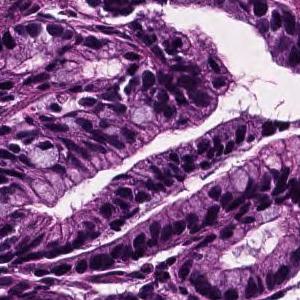
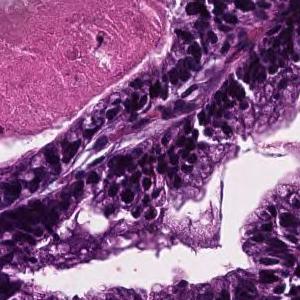
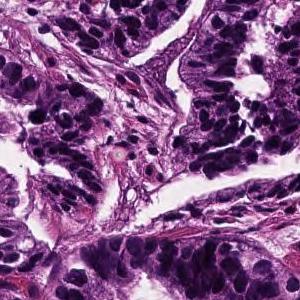
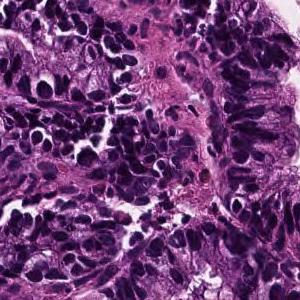
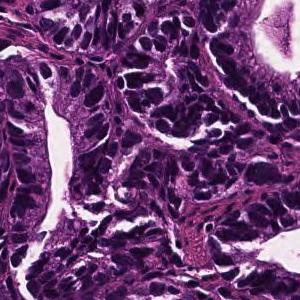
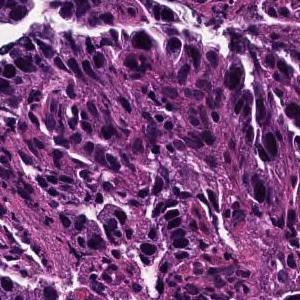
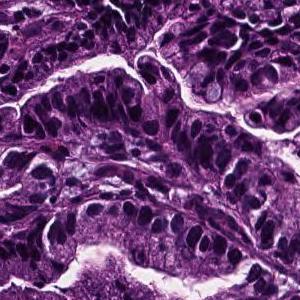
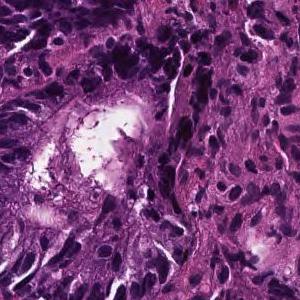
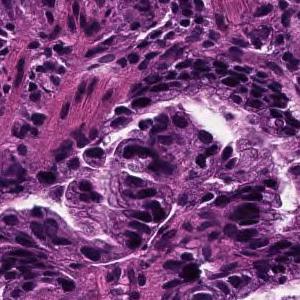
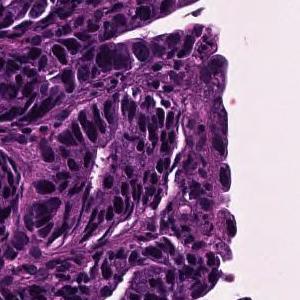
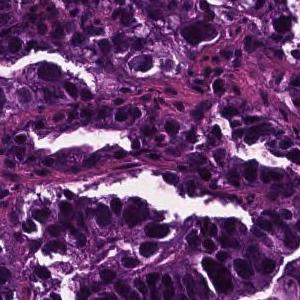
20× magnification; 11 patches cut from one gastric biopsy slide.
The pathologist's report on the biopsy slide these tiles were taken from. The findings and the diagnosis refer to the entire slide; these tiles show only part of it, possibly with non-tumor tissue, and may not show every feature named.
In the superficial epithelium, tumor tissue that invades by forming medium-sized to small, irregular ducts is observed. Well differentiated tubular adenocarcinoma.
